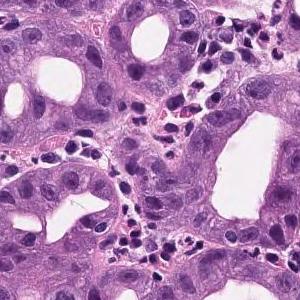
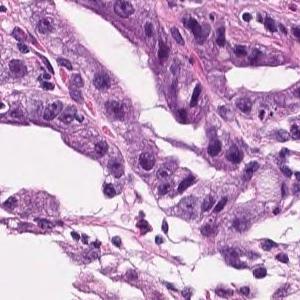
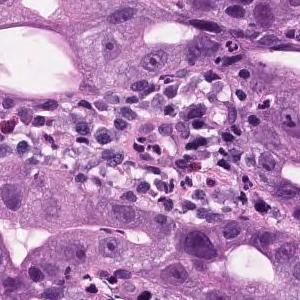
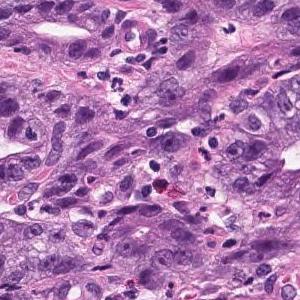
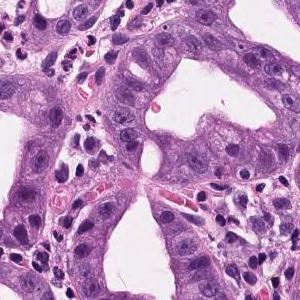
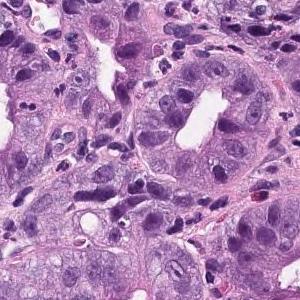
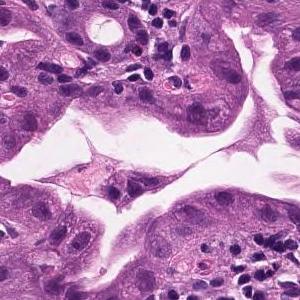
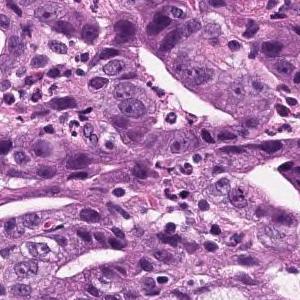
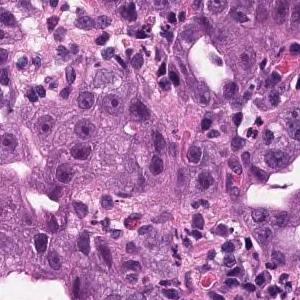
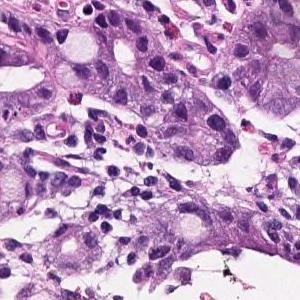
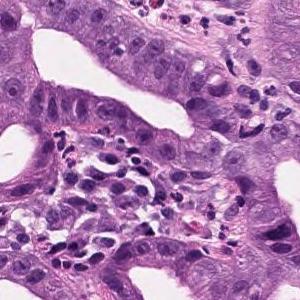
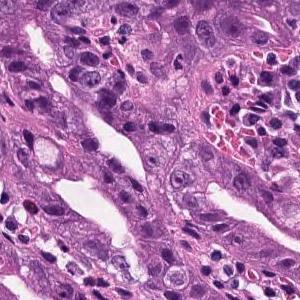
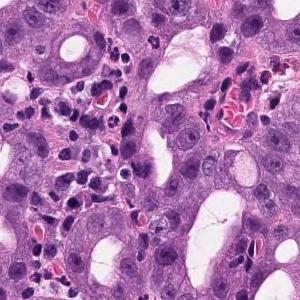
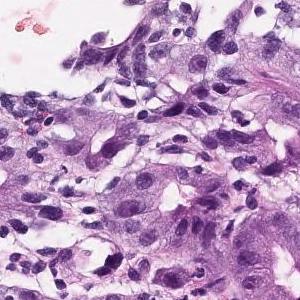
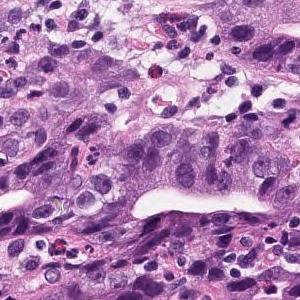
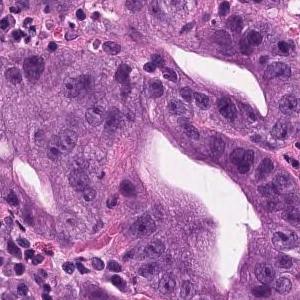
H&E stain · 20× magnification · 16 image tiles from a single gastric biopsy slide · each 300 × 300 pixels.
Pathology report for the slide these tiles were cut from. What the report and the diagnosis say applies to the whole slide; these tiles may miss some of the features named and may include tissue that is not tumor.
In the superficial epithelium, tumor tissue that invades by forming medium-sized to small, irregular ducts is observed. Well to moderately differentiated adenocarcinoma (well differentiated tubular adenocarcinoma, moderately differentiated tubular adenocarcinoma).
Tumor subtype: well to moderately differentiated tubular adenocarcinoma.
